Scanned at ×20; H&E; 8 patches cut from one gastric biopsy slide; 300 × 300 pixels each.
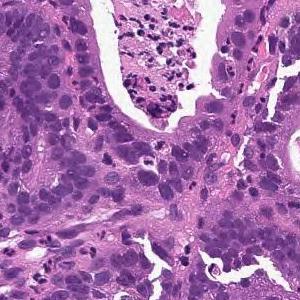
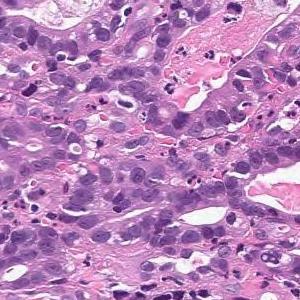
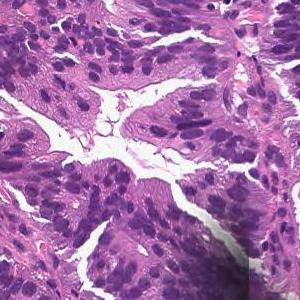
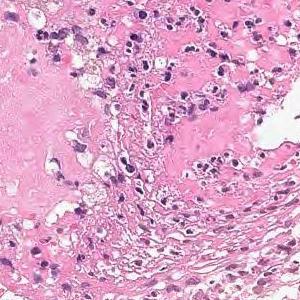
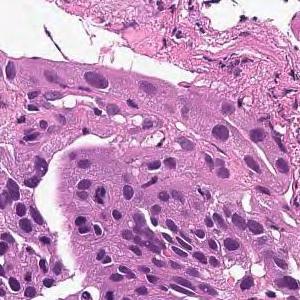
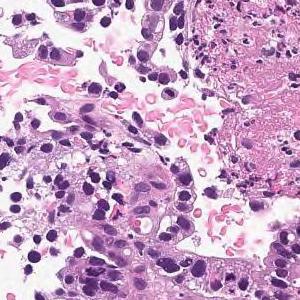
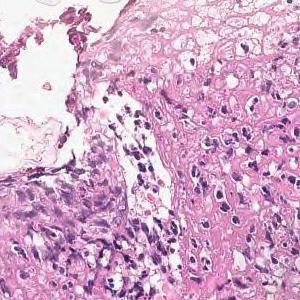
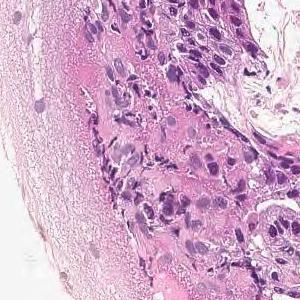
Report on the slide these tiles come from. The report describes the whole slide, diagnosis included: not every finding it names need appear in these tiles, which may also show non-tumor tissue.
From the superficial epithelium to the muscularis mucosae, tumor tissue consisting of medium-sized and irregular glandular ducts infiltrating is observed. Well differentiated tubular adenocarcinoma
